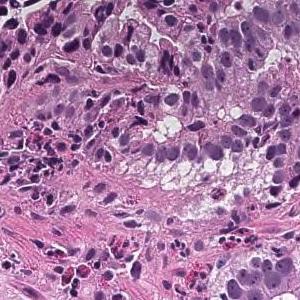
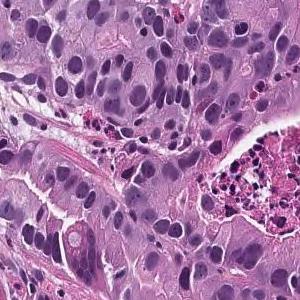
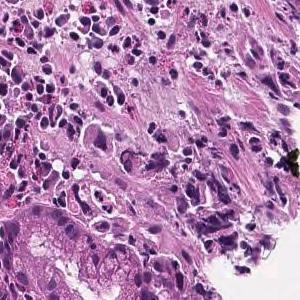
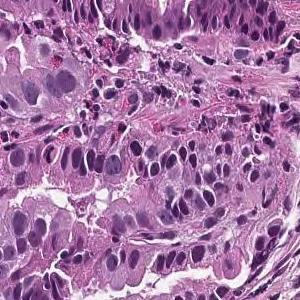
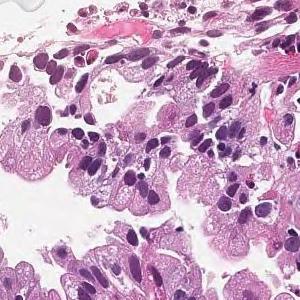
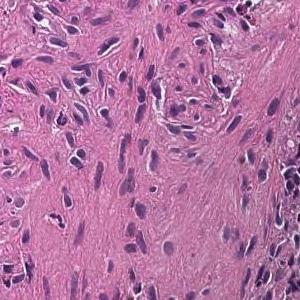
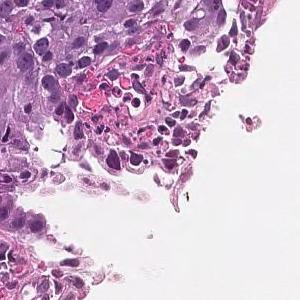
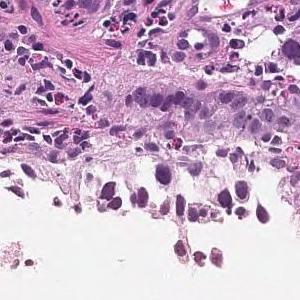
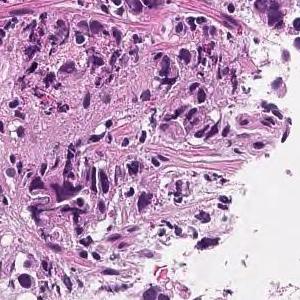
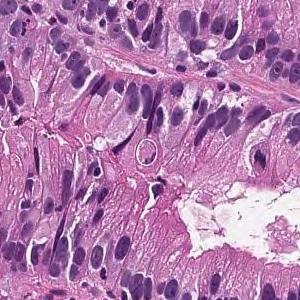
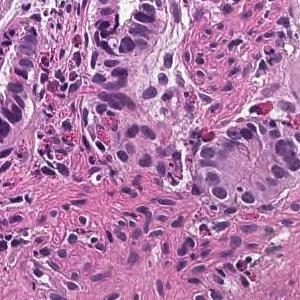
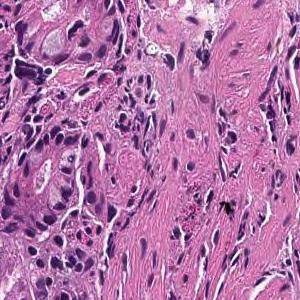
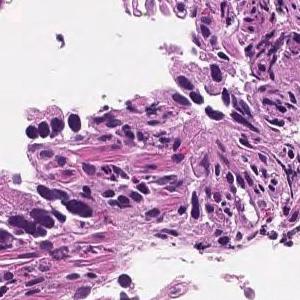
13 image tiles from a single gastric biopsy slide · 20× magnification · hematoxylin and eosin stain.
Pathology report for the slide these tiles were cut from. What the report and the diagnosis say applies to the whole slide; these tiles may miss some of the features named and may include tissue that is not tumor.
From the superficial epithelium to the muscularis mucosae, tumor tissue consisting of medium-sized and irregular glandular ducts infiltrating is observed. Well differentiated tubular adenocarcinoma
